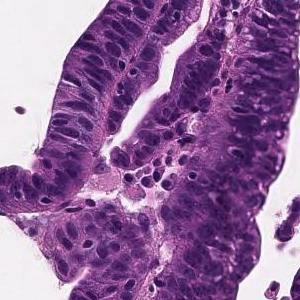
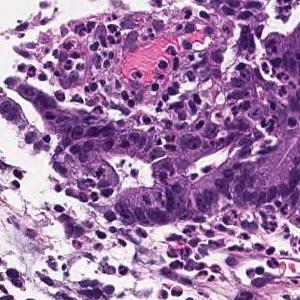
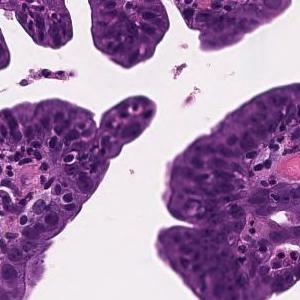
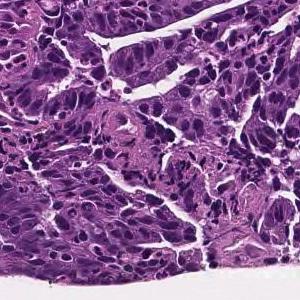
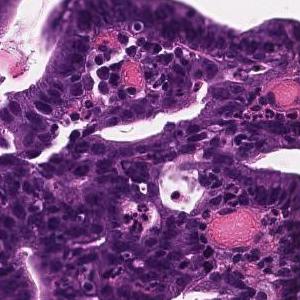
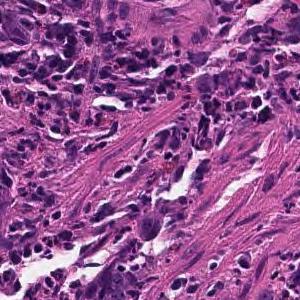
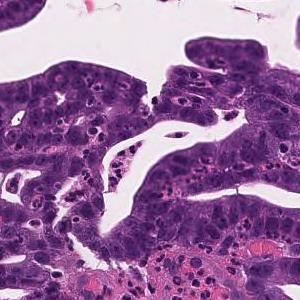
7 tiles from the same stomach biopsy slide · hematoxylin and eosin stain.
The pathologist's report on the biopsy slide these tiles were taken from. Both the report and the diagnosis are for the whole slide: these tiles need not show every feature named, and some of the tissue shown may not be tumor.
Tumor cells are large, highly columnar, large club-shaped nuclei, and are associated with chromatin aggregation. Papillary adenocarcinoma.
